14 image tiles from a single gastric biopsy slide, 300×300 px each, hematoxylin and eosin stain, scanned at ×20.
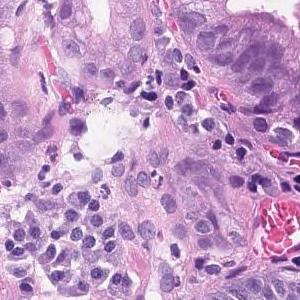
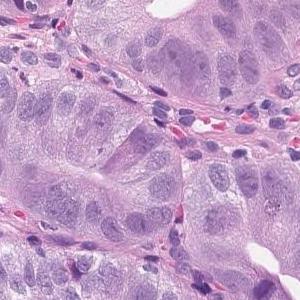
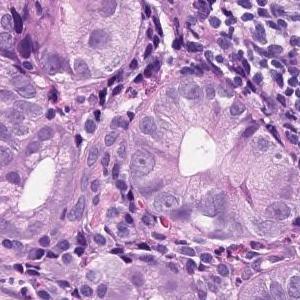
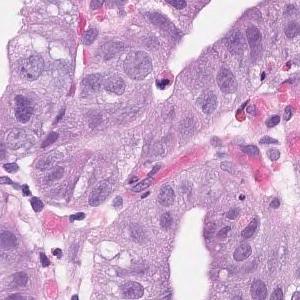
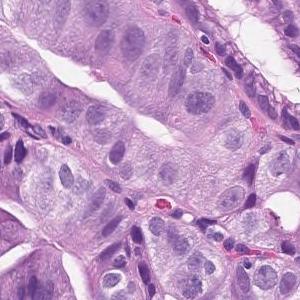
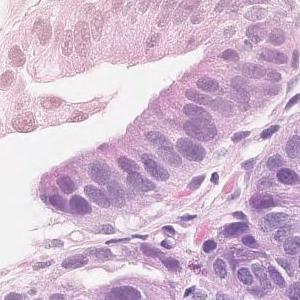
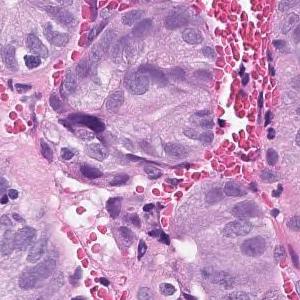
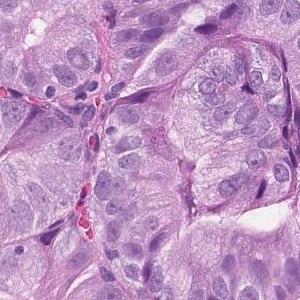
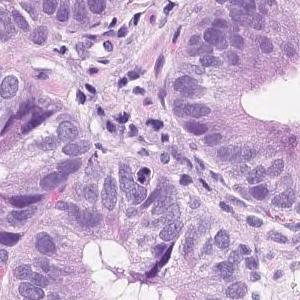
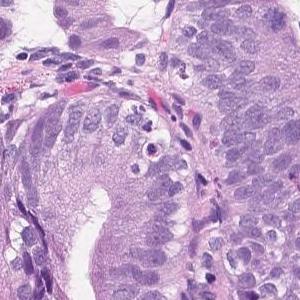
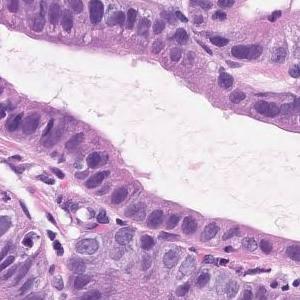
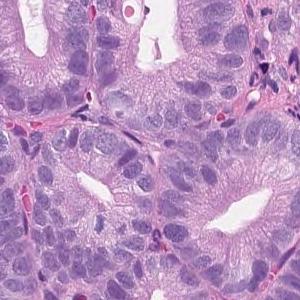
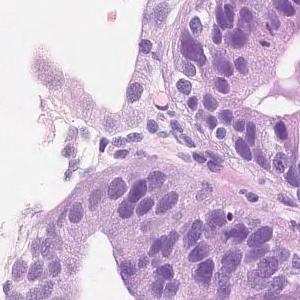
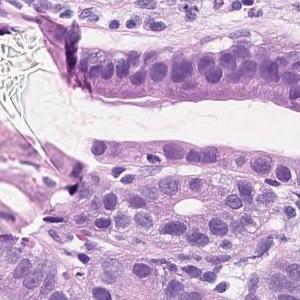
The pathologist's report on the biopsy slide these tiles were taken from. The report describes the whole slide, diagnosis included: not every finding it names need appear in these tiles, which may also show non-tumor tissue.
Tumor tissue consisting of medium-sized and irregular ducts is observed infiltrating in the superficial epithelium. Tumor cells are highly columnar, with nuclei aligned basolaterally and polarized. Well differentiated tubular adenocarcinoma.
